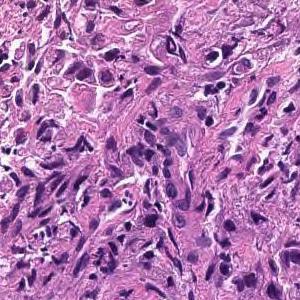
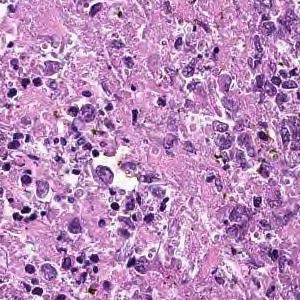
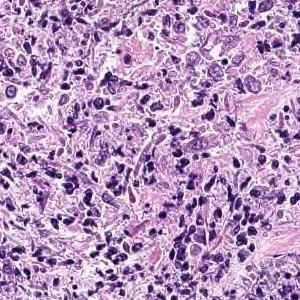
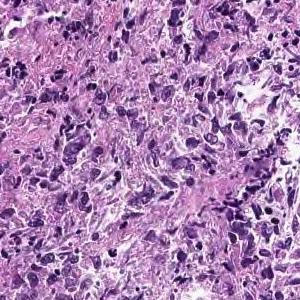
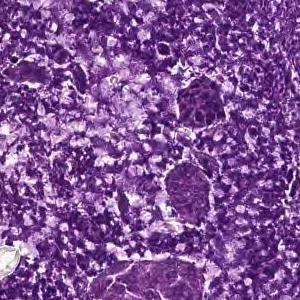
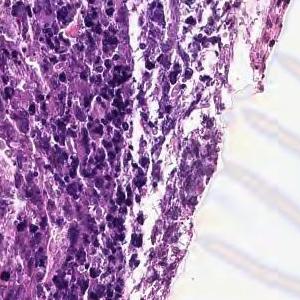
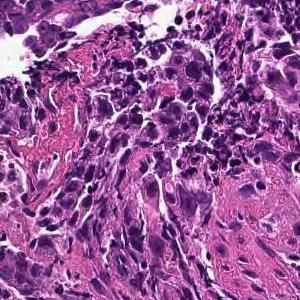
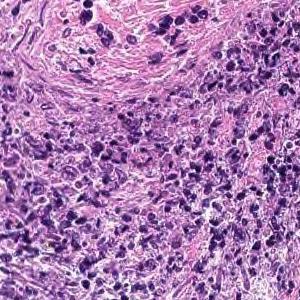
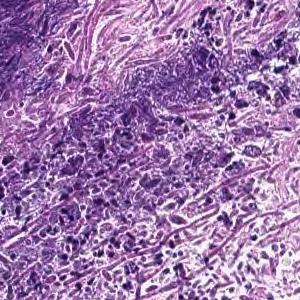
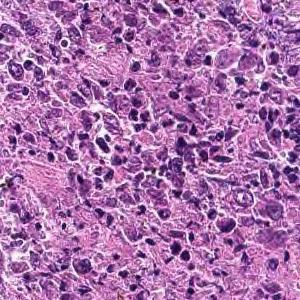
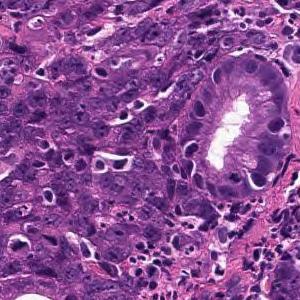
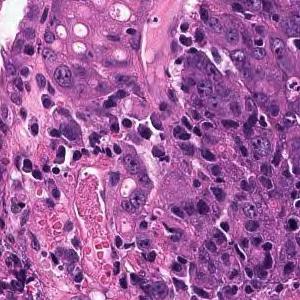
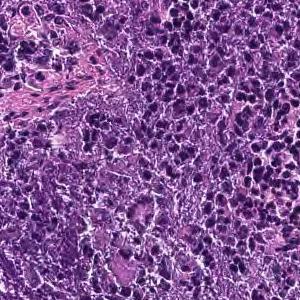
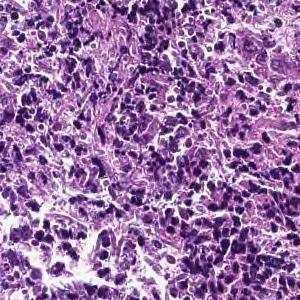
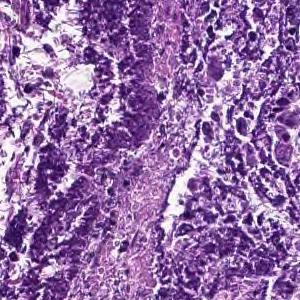
H&E; 15 patches cut from one gastric biopsy slide.
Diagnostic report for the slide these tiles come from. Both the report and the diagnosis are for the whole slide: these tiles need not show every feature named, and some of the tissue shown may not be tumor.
Cancers with polygonal nuclei do not show glandular formation and are densely, in part, cord-like and proliferate. Poorly differentiated adenocarcinoma
Tumor subtype: poorly differentiated adenocarcinoma, non-solid type.
The term "non-solid type" comes from the Japanese Classification of Gastric Carcinoma.
